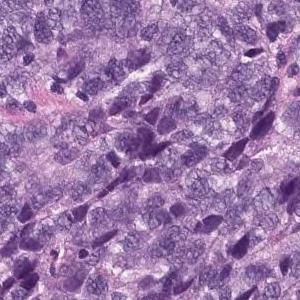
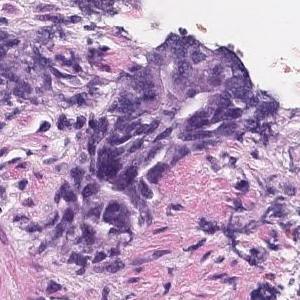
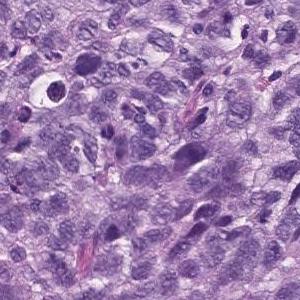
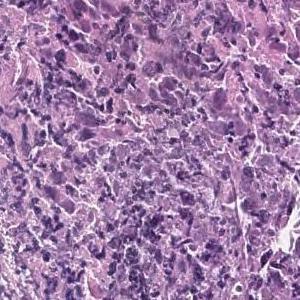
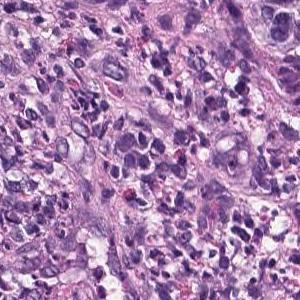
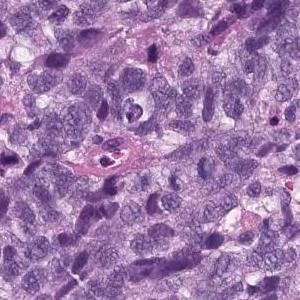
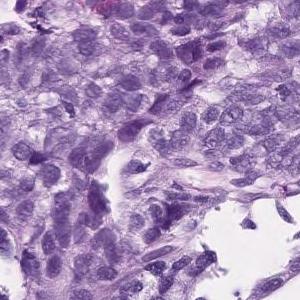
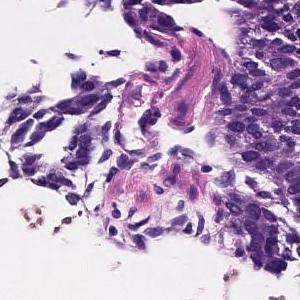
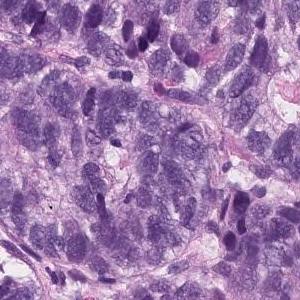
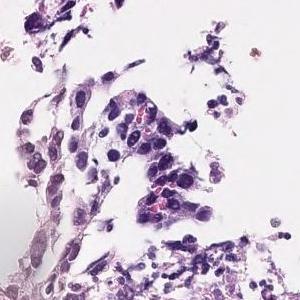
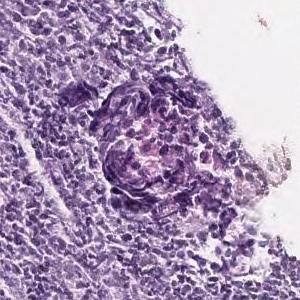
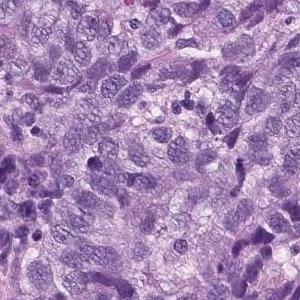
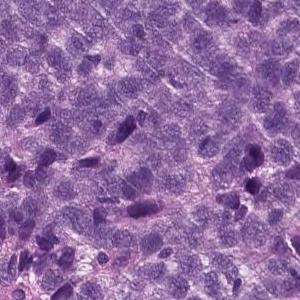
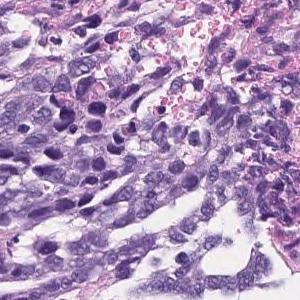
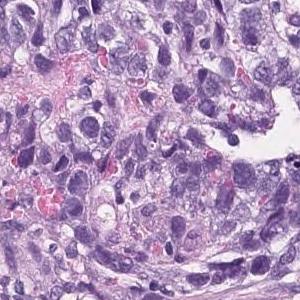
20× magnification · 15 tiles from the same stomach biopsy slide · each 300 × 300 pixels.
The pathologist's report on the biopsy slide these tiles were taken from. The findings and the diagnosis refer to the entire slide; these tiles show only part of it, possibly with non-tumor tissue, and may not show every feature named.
Epithelial cells with swollen nuclei with atypia invasively proliferating while forming vesicles is observed. Poorly differentiated adenocarcinoma
Classified as poorly differentiated adenocarcinoma, solid type. This name comes from the Japanese Classification of Gastric Carcinoma; the WHO 2019 classification calls it tubular adenocarcinoma, poorly differentiated.
